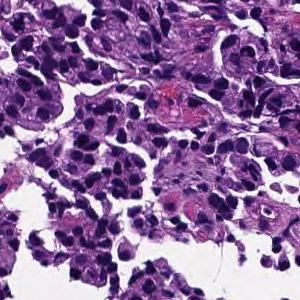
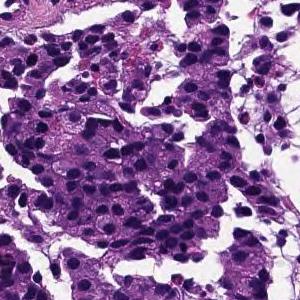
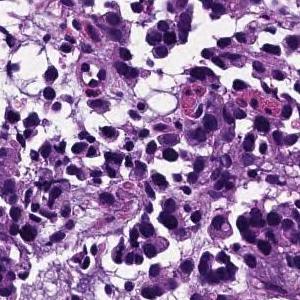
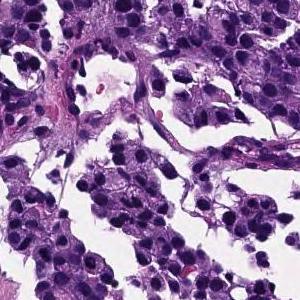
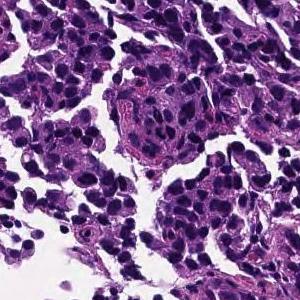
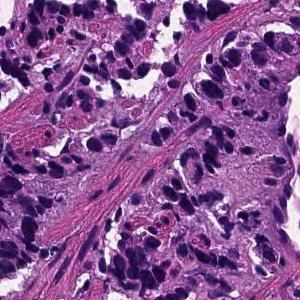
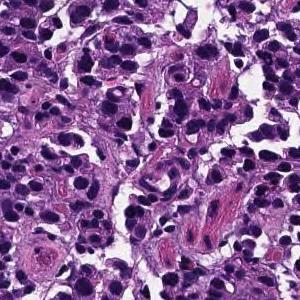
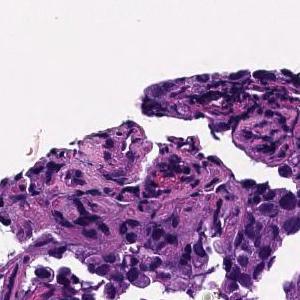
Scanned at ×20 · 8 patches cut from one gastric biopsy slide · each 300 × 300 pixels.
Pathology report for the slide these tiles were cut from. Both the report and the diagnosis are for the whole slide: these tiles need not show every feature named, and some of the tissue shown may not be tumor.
The superficial epithelium shows a large alveolar shape and infiltrates tumor tissue. Poorly differentiated adenocarcinoma, solid-type
Subtype: Poorly differentiated adenocarcinoma, solid type. This name comes from the Japanese Classification of Gastric Carcinoma; the WHO 2019 classification calls it tubular adenocarcinoma, poorly differentiated.
